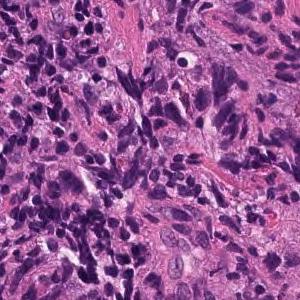
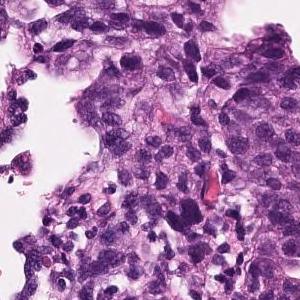
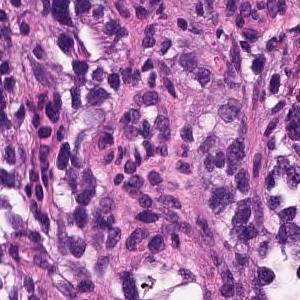
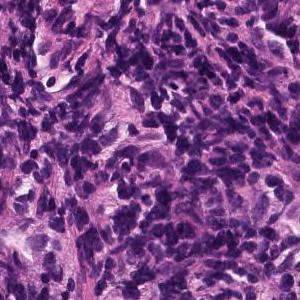
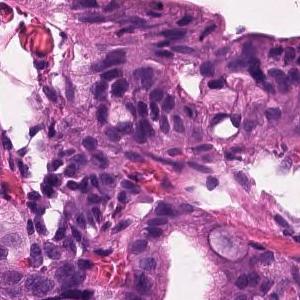
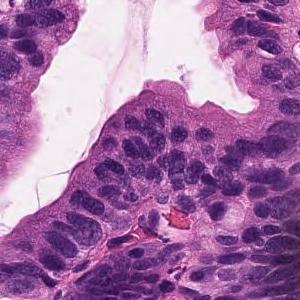
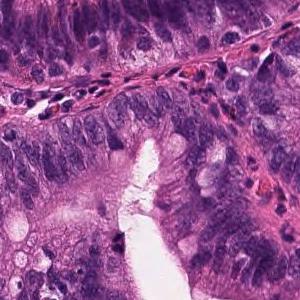
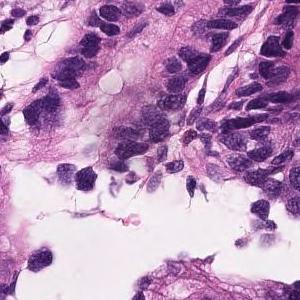
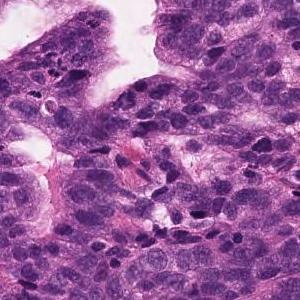
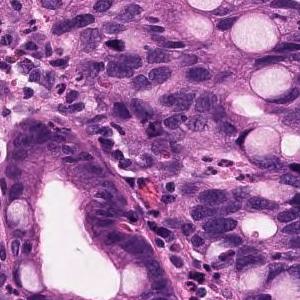
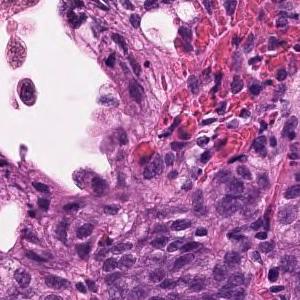
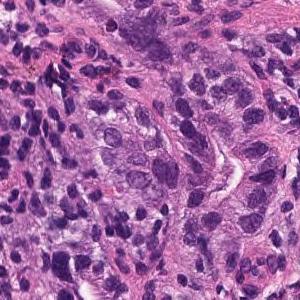
12 tiles cut from one stomach biopsy slide, hematoxylin and eosin stain.
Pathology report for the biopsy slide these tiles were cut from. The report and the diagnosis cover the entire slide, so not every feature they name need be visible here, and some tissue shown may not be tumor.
In the superficial epithelium, tumor tissue that invades by forming medium-sized to small, irregular ducts is observed. Moderately differentiated adenocarcinoma.
Histological subtype: Moderately differentiated tubular adenocarcinoma.
